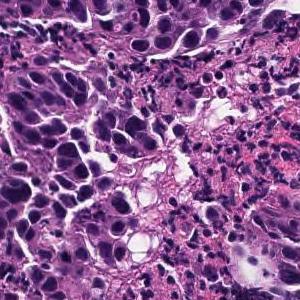
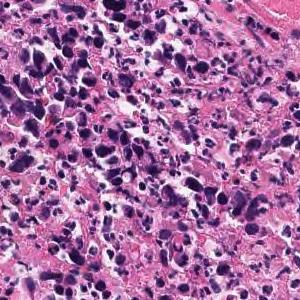
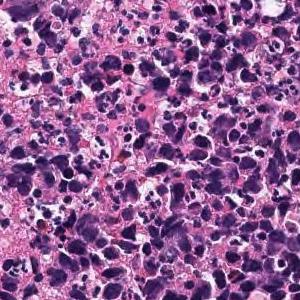
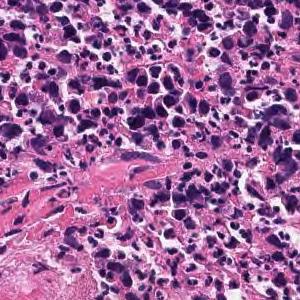
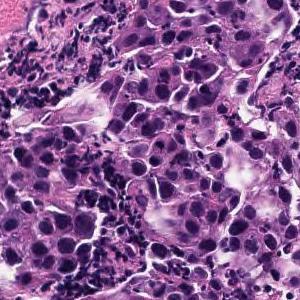
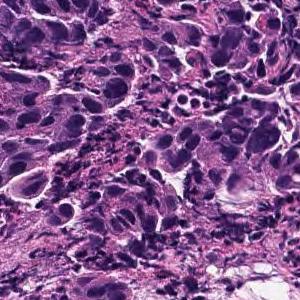
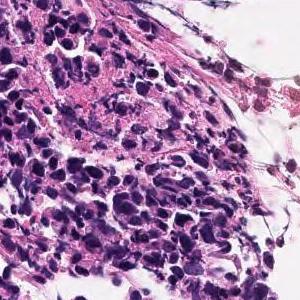
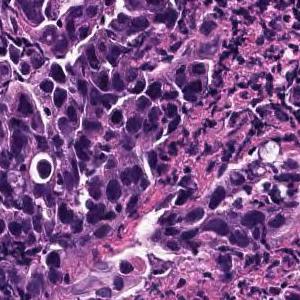
8 image tiles from a single gastric biopsy slide; hematoxylin and eosin stain; ×20.
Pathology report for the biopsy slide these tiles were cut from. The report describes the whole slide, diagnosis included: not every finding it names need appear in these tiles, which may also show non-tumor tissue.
In the superficial epithelium, tumor tissue that invades by forming medium-sized to small, irregular ducts is observed. Tumor cells are columnar or cuboidal in shape. Moderately differentiated adenocarcinoma.
Classified as moderately differentiated tubular adenocarcinoma.
